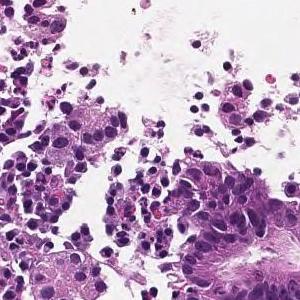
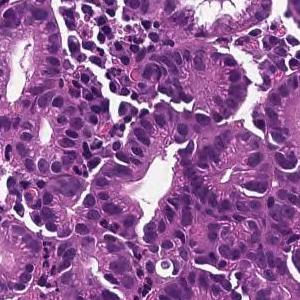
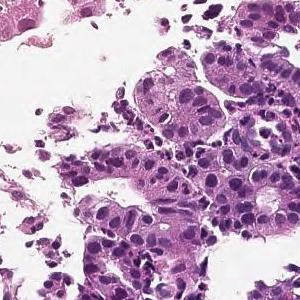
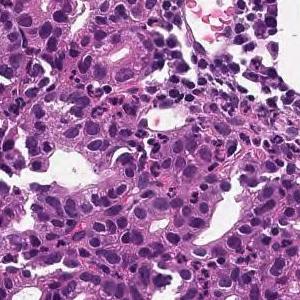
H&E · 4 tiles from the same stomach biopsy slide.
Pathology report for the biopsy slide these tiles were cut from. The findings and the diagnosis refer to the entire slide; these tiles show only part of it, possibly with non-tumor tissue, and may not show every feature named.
From the superficial epithelium to the muscularis mucosae, tumor tissue consisting of medium-sized and irregular glandular ducts infiltrating is observed. Well differentiated tubular adenocarcinoma
